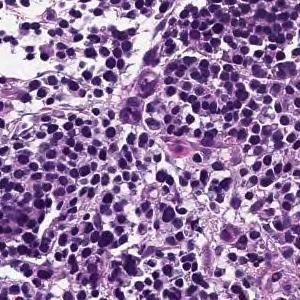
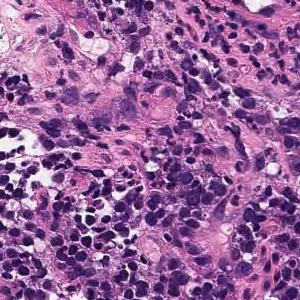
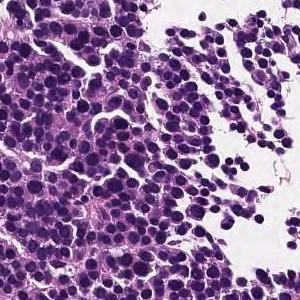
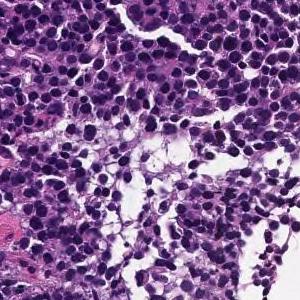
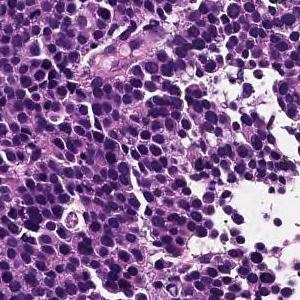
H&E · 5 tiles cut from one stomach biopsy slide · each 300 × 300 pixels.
The pathologist's report on the biopsy slide these tiles were taken from. The findings and the diagnosis refer to the entire slide; these tiles show only part of it, possibly with non-tumor tissue, and may not show every feature named.
Large sheet-like or diffusely infiltrating tumor tissue is found in the superficial epithelium. Poorly differentiated adenocarcinoma, solid-type
Histologic type: Poorly differentiated adenocarcinoma, solid type. This name comes from the Japanese Classification of Gastric Carcinoma; the WHO 2019 classification calls it tubular adenocarcinoma, poorly differentiated.
